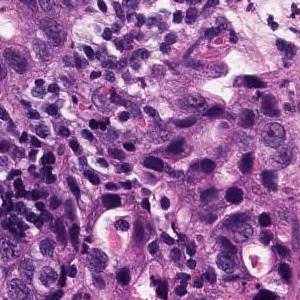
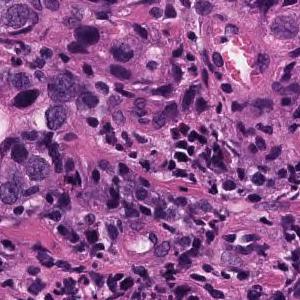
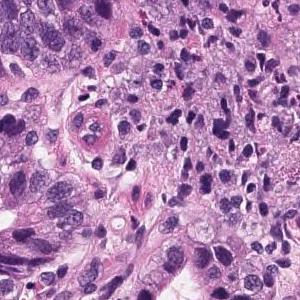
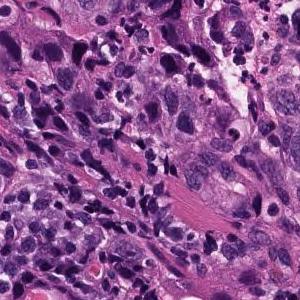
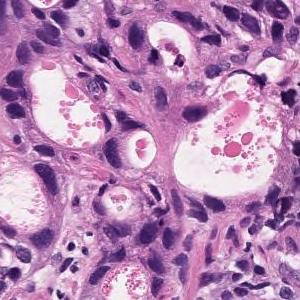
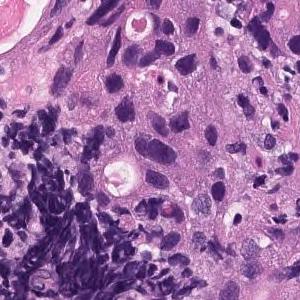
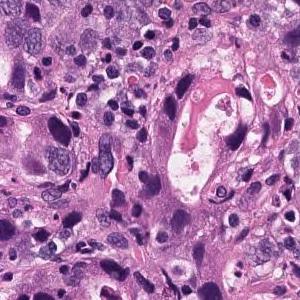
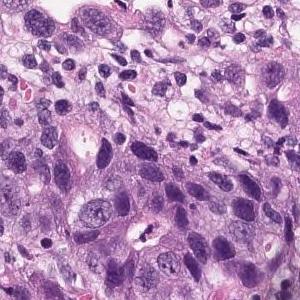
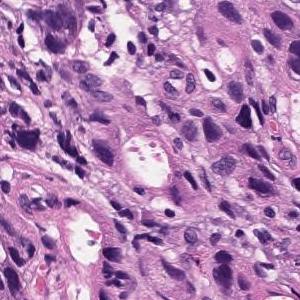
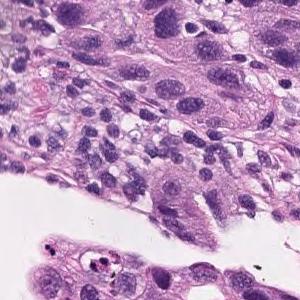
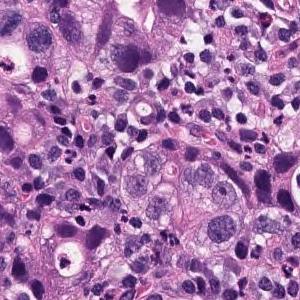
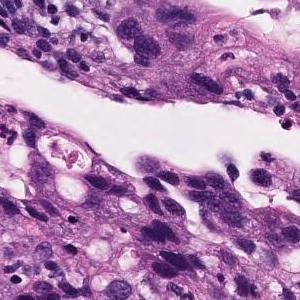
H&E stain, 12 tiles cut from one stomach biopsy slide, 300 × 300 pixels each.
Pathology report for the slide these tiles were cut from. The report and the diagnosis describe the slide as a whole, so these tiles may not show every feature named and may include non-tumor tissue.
In the superficial epithelium, tumor tissue that invades by forming medium-sized to small, irregular ducts is observed. Moderately differentiated adenocarcinoma.
Tumor subtype: moderately differentiated tubular adenocarcinoma.
